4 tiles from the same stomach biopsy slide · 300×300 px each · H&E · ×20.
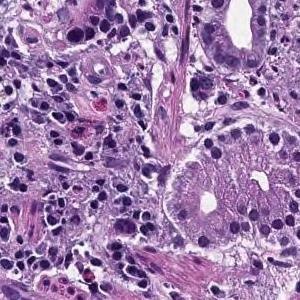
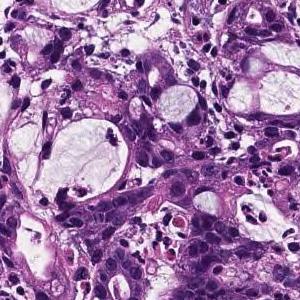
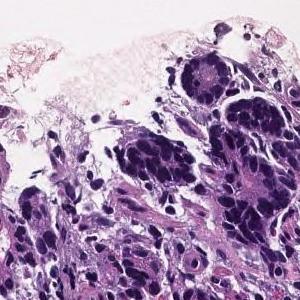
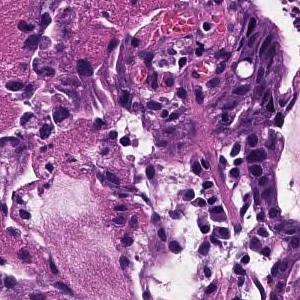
Pathology report for the biopsy slide these tiles were cut from. What the report and the diagnosis say applies to the whole slide; these tiles may miss some of the features named and may include tissue that is not tumor.
In the superficial epithelium, tumor tissue is found in which medium-sized to small, irregular glandular ducts are partially fused and infiltrated. moderately differentiated tubular adenocarcinoma
